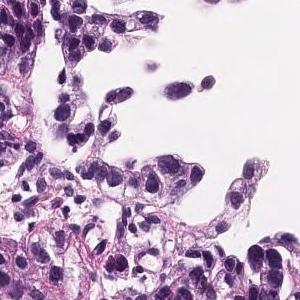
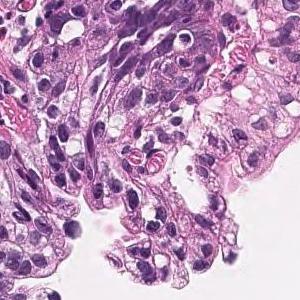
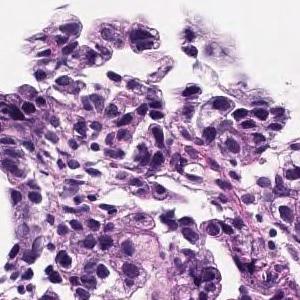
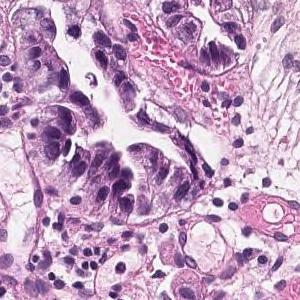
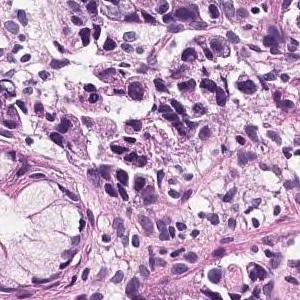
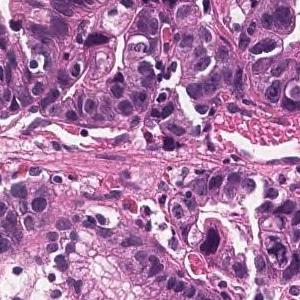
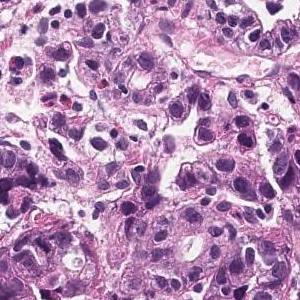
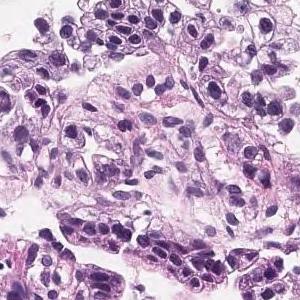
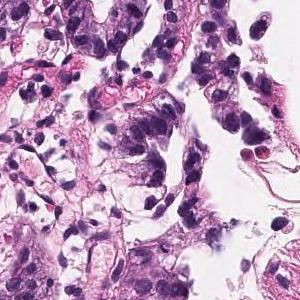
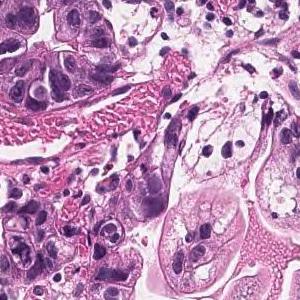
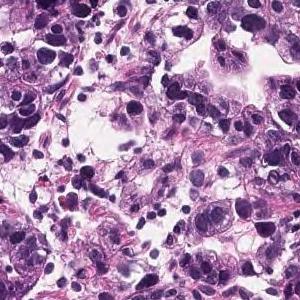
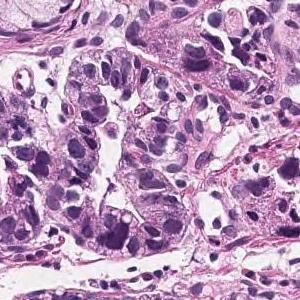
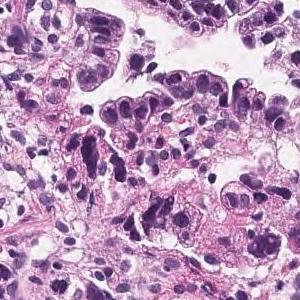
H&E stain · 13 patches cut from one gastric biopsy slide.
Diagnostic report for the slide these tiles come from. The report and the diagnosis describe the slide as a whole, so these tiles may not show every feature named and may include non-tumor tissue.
Atypical epithelium showing nuclear enlargement builds irregular ducts and grows densely. moderately differentiated tubular adenocarcinoma
